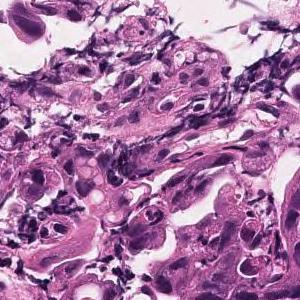
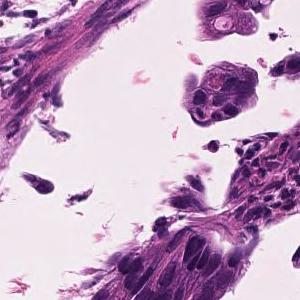
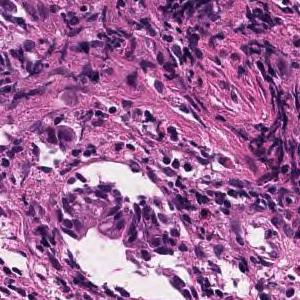
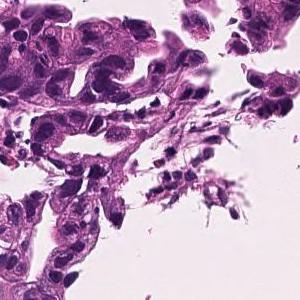
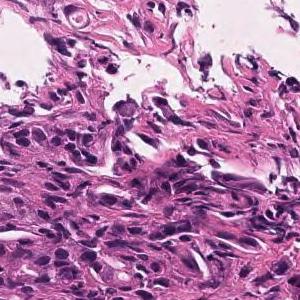
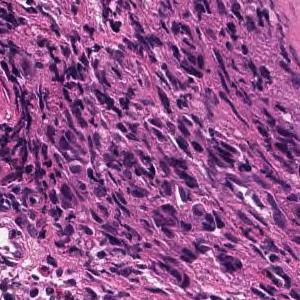
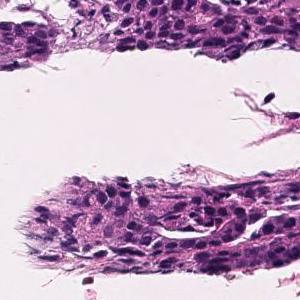
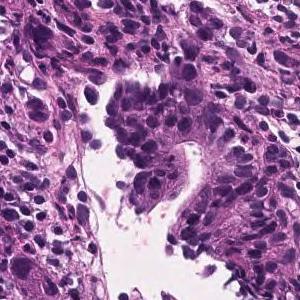
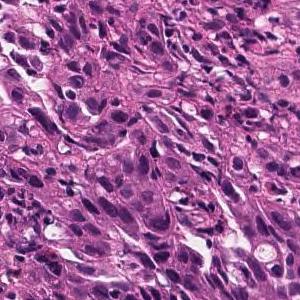
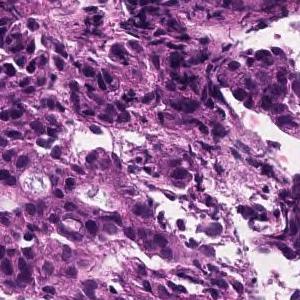
H&E, 20× magnification, 10 tiles from the same stomach biopsy slide, 300 × 300 pixels each.
Diagnostic report for the slide these tiles come from. What the report and the diagnosis say applies to the whole slide; these tiles may miss some of the features named and may include tissue that is not tumor.
Tumor tissue consisting of medium-sized, cord-like or irregular glandular infiltration is observed in the superficial epithelium. Poorly differentiated adenocarcinoma, non-solid type or moderately differentiated tubular adenocarcinoma
"Non-solid type" is a category of the Japanese Classification of Gastric Carcinoma.
